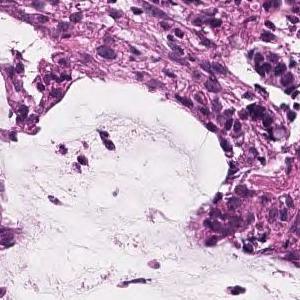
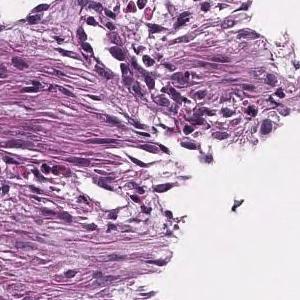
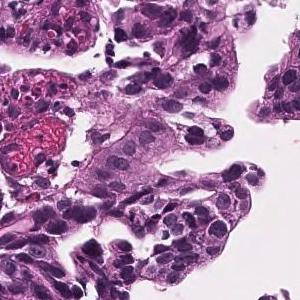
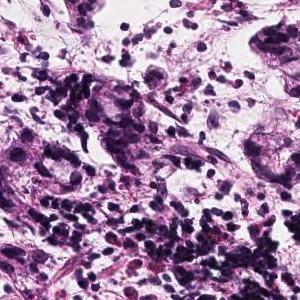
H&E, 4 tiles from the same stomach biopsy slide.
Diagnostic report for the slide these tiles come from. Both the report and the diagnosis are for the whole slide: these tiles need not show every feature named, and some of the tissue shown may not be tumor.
Atypical epithelial cells form obscure ductal structures or small solid follicles, and tumor tissue that proliferates invasively with proliferation of inflammatory granulation tissue is observed. Mucinous adenocarcinoma .
